4 tiles from the same stomach biopsy slide; each 300 × 300 pixels; hematoxylin and eosin stain; scanned at ×20.
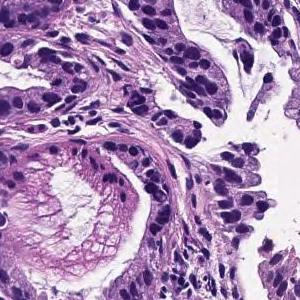
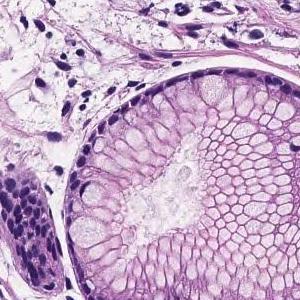
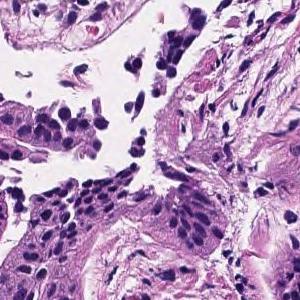
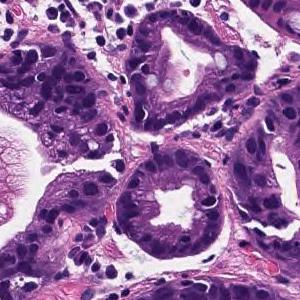
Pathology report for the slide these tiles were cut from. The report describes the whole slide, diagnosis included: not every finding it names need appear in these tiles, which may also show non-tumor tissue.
Tumor cells are large, highly columnar, large club-shaped nuclei, and are associated with chromatin aggregation. Papillary adenocarcinoma.
